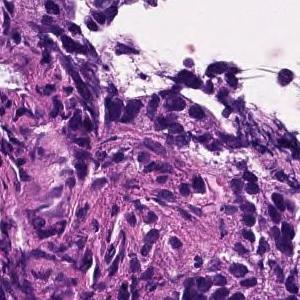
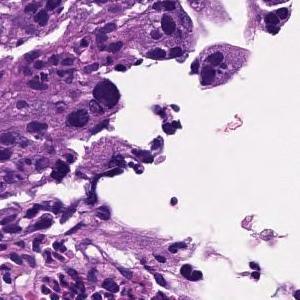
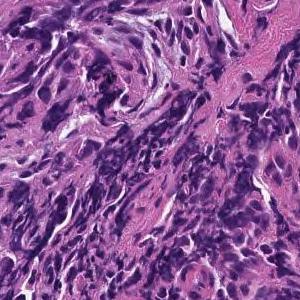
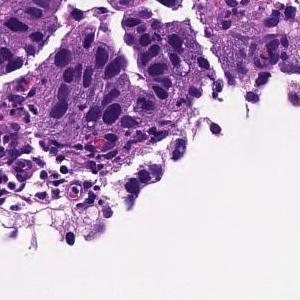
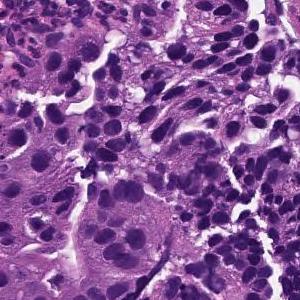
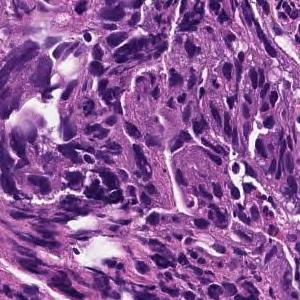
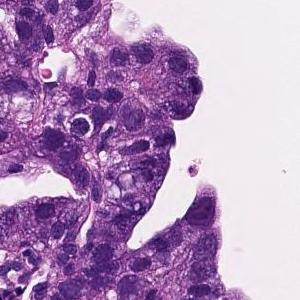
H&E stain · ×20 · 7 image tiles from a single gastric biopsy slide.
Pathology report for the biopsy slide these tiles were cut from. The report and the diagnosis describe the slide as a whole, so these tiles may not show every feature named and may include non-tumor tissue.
Tumor tissue consisting of large papillary structures is found in the superficial epithelium. Papillary adenocarcinoma.
